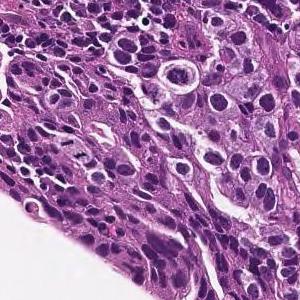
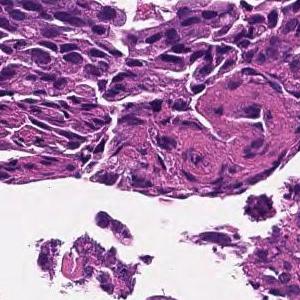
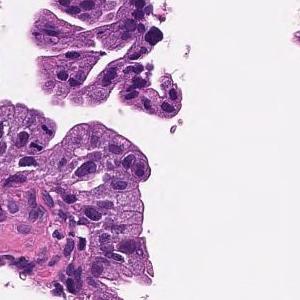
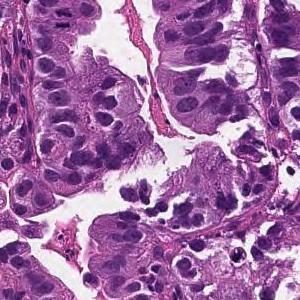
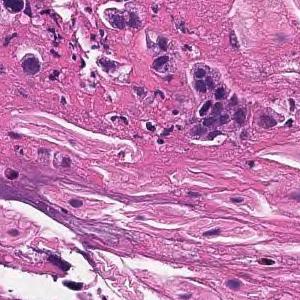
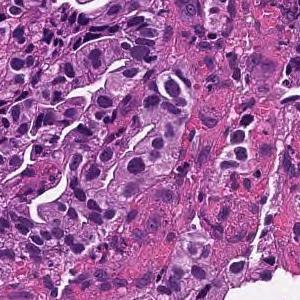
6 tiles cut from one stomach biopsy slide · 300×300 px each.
The pathologist's report on the biopsy slide these tiles were taken from. The findings and the diagnosis refer to the entire slide; these tiles show only part of it, possibly with non-tumor tissue, and may not show every feature named.
Medium to small, irregular glandular ducts are formed in the superficial epithelium, and in some cases, the glandular ducts are fused to show solid alveolar lesions and infiltrating tumor tissue is observed. Moderately to poorly differentiated adenocarcinoma.
